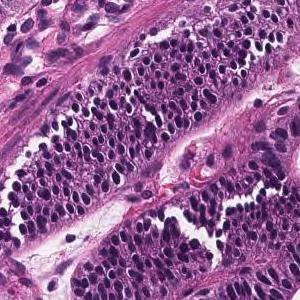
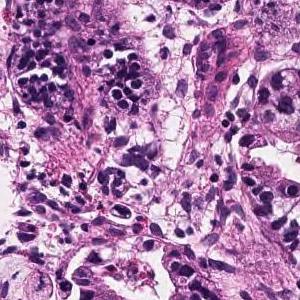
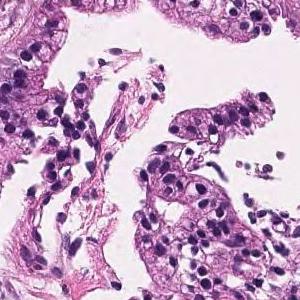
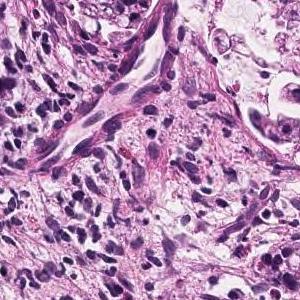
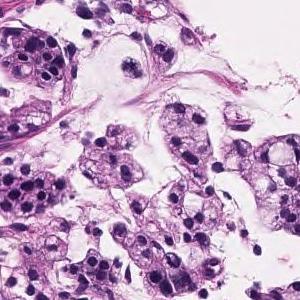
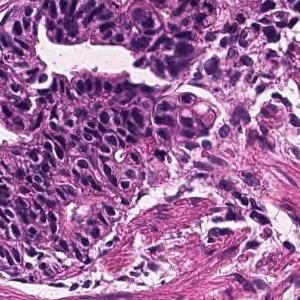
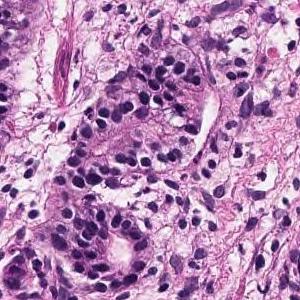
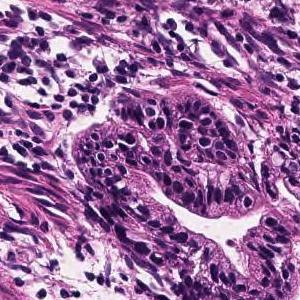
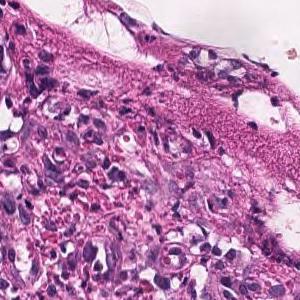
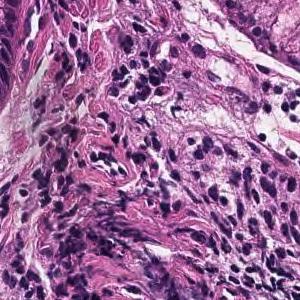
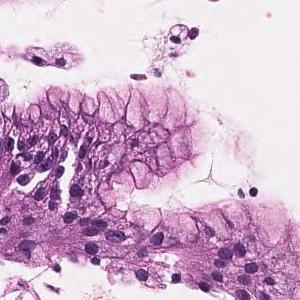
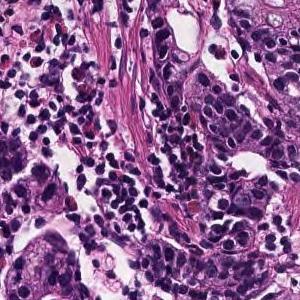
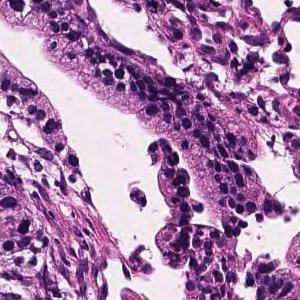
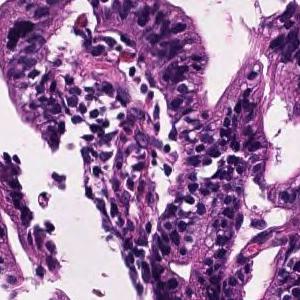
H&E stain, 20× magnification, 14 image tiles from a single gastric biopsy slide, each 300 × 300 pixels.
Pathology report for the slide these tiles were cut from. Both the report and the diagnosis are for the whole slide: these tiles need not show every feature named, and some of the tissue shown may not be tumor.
Tumor tissue consisting of large papillary structures or irregular glandular ducts partially fused and infiltrated is observed in the superficial epithelium. Well to moderately differentiated tubular adenocarcinoma.
The dataset labels this slide moderately differentiated tubular adenocarcinoma.
